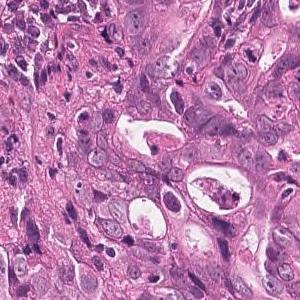
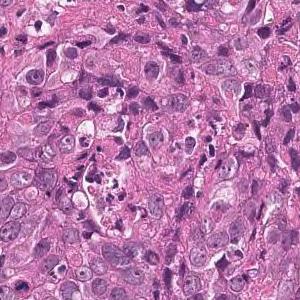
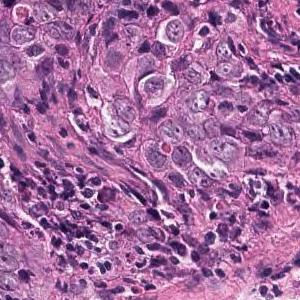
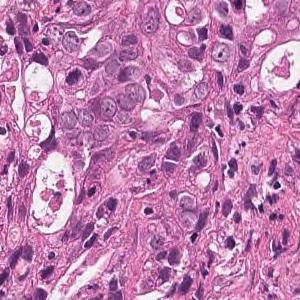
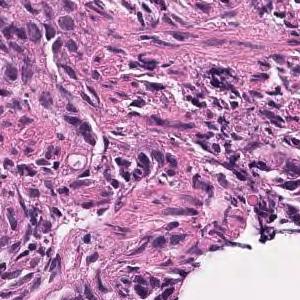
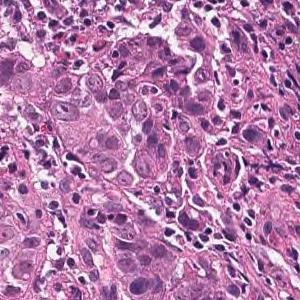
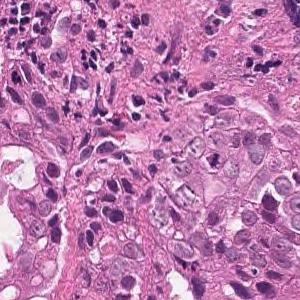
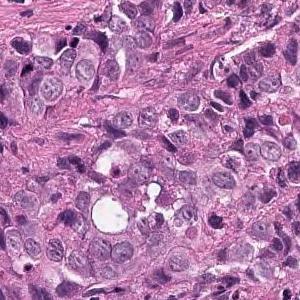
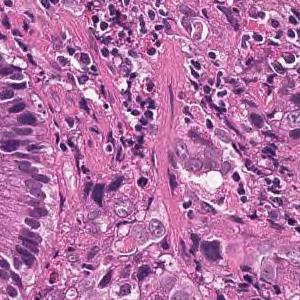
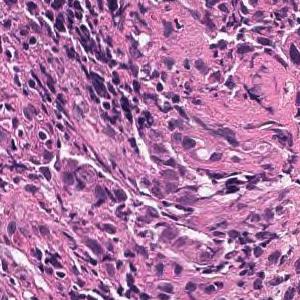
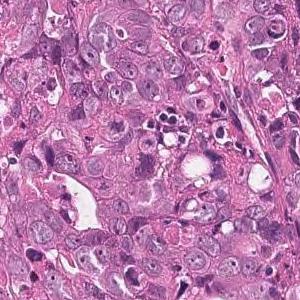
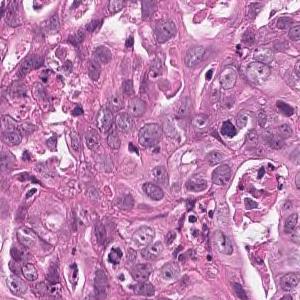
20× magnification, hematoxylin and eosin stain, 12 tiles from the same stomach biopsy slide, 300×300 px each.
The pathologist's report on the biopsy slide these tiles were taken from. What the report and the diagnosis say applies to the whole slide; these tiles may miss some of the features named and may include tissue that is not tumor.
Tumor tissue that infiltrates and proliferates with alveolar or cord-like structures with small glandular cavities in the superficial to submucosal layers is observed. moderately differentiated tubular adenocarcinoma
